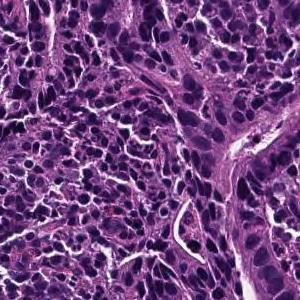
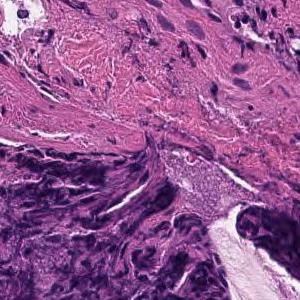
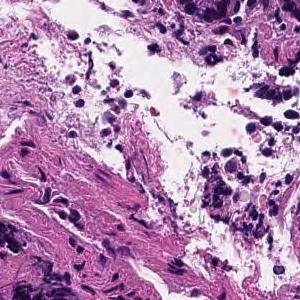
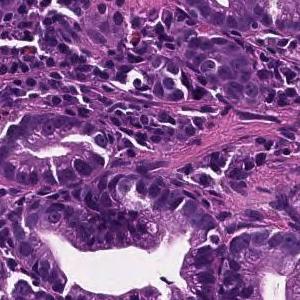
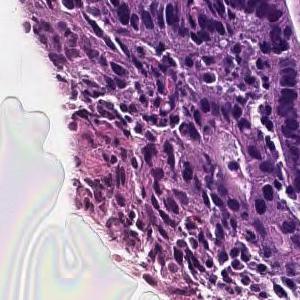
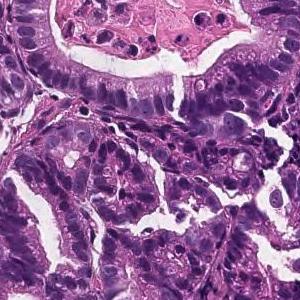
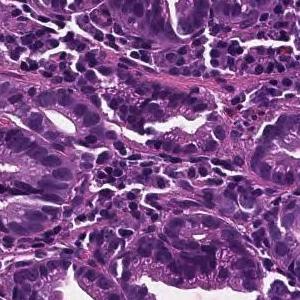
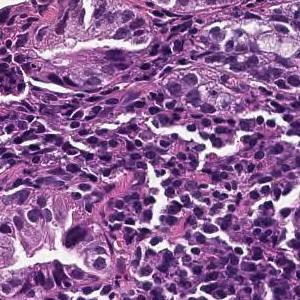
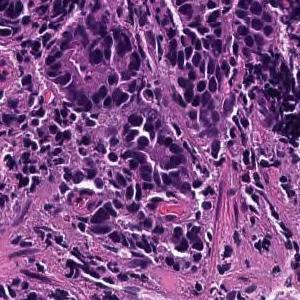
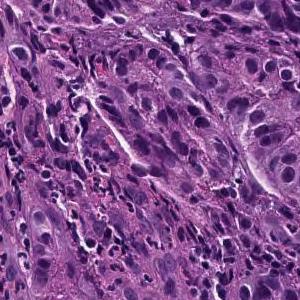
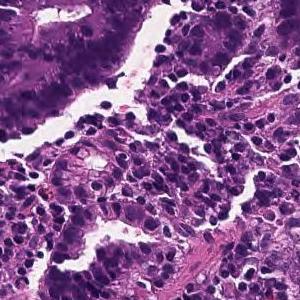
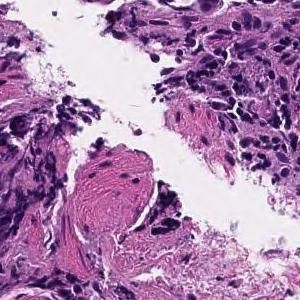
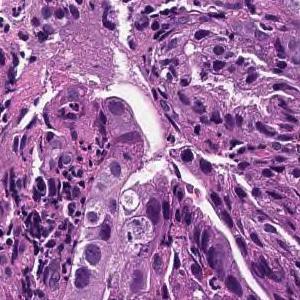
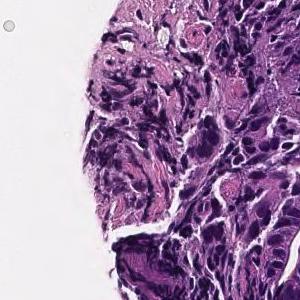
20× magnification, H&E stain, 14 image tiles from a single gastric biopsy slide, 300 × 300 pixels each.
The pathologist's report on the biopsy slide these tiles were taken from. Both the report and the diagnosis are for the whole slide: these tiles need not show every feature named, and some of the tissue shown may not be tumor.
On the superficial epithelium, tumor tissue consisting of large irregular glandular ducts partially fused and infiltrated is observed. Well to moderately differentiated tubular adenocarcinoma (well differentiated tubular adenocarcinoma, moderately differentiated tubular adenocarcinoma)
Tumor subtype: well to moderately differentiated tubular adenocarcinoma.
